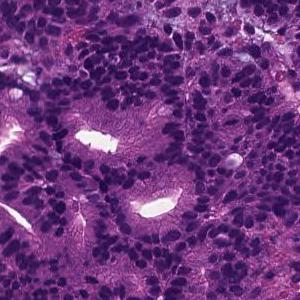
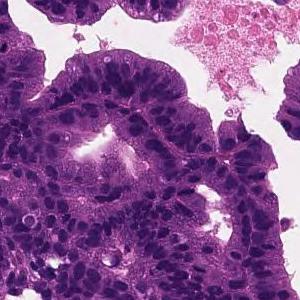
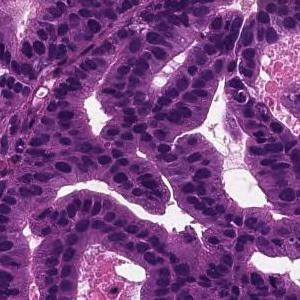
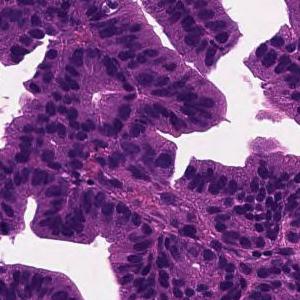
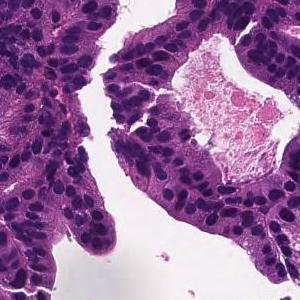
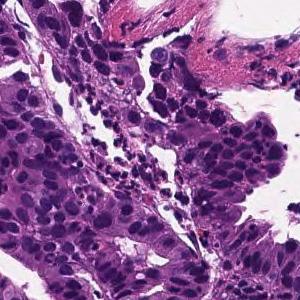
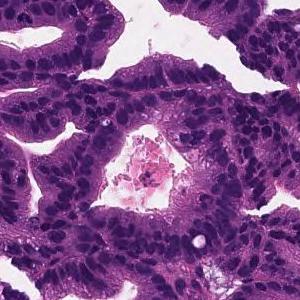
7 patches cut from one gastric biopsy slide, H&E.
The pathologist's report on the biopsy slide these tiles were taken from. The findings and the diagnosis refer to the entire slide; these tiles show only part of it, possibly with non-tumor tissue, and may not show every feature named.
Tumor cells are large, highly columnar, large club-shaped nuclei, and are associated with chromatin aggregation. Papillary adenocarcinoma.
